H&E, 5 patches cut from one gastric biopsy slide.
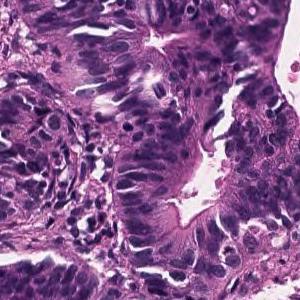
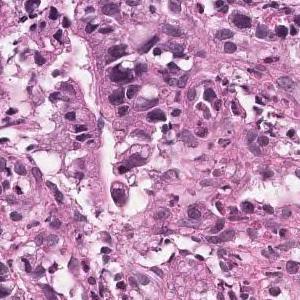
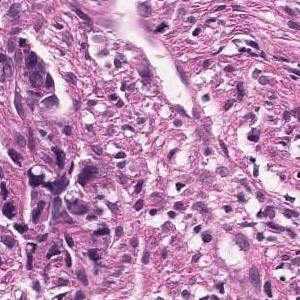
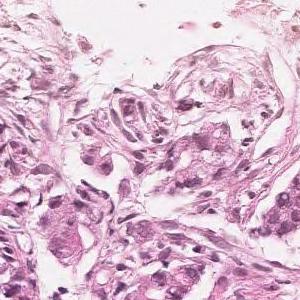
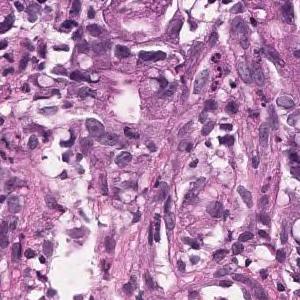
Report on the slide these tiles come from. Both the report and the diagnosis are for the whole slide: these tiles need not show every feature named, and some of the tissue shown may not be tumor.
In the superficial epithelium, tumor tissue is found in which medium-sized irregular gland ducts fuse with each other and infiltrate. moderately differentiated tubular adenocarcinoma
